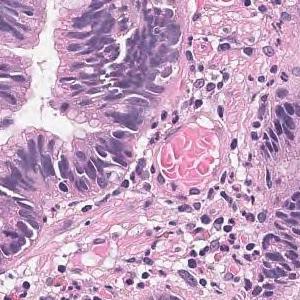
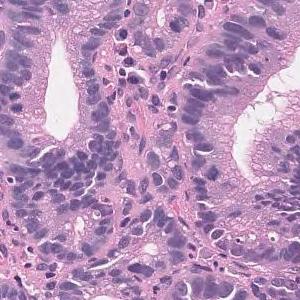
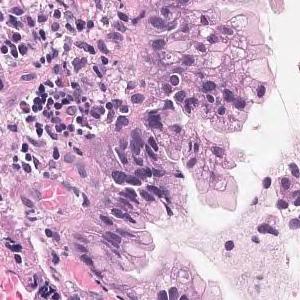
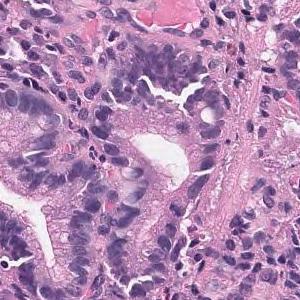
Hematoxylin and eosin stain; 4 patches cut from one gastric biopsy slide.
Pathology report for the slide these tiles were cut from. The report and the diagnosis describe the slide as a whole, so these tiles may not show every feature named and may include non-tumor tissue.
Tumor tissue that grows tubular from the surface to the glandular fossa is seen. Adenocarcinoma.
Subtype: Well differentiated tubular adenocarcinoma.
